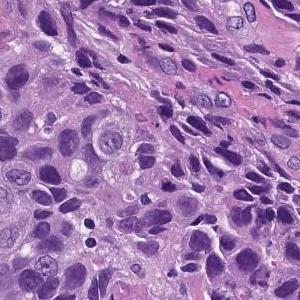
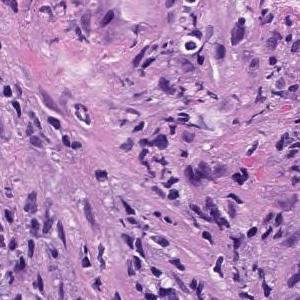
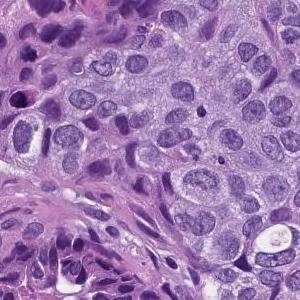
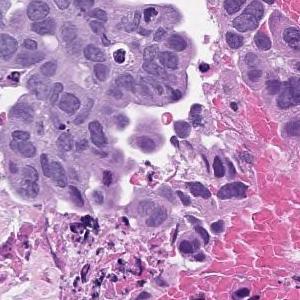
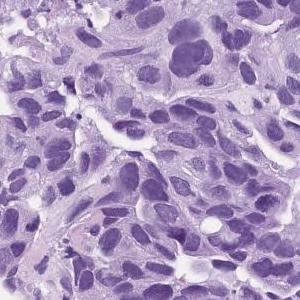
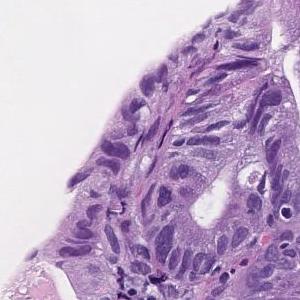
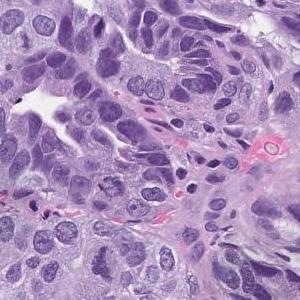
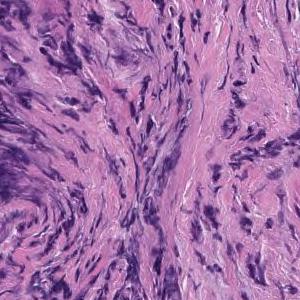
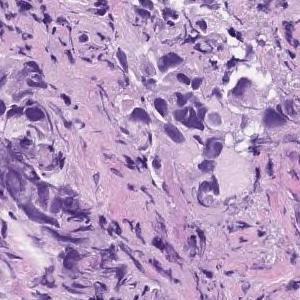
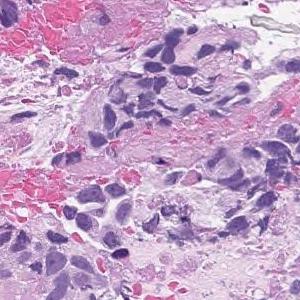
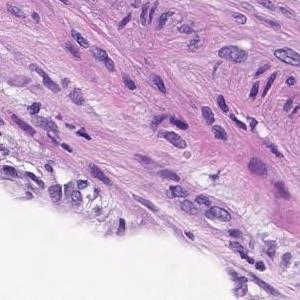
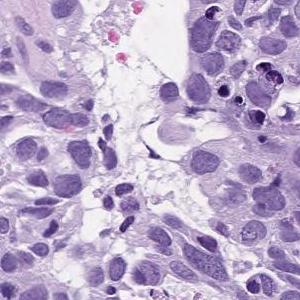
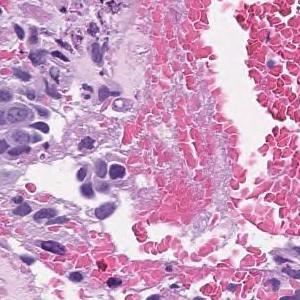
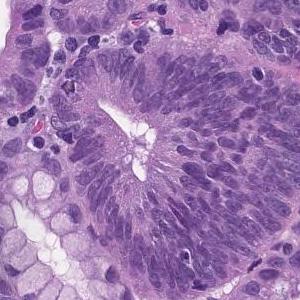
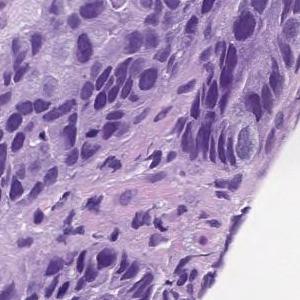
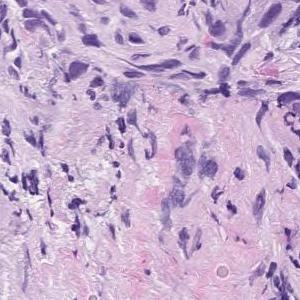
16 tiles cut from one stomach biopsy slide · each 300 × 300 pixels · H&E · scanned at ×20.
Pathology report for the slide these tiles were cut from. The report and the diagnosis cover the entire slide, so not every feature they name need be visible here, and some tissue shown may not be tumor.
In the superficial epithelium, tumor tissue that invades by forming medium-sized to small, irregular ducts is observed. moderately differentiated tubular adenocarcinoma.
